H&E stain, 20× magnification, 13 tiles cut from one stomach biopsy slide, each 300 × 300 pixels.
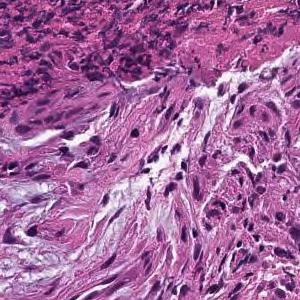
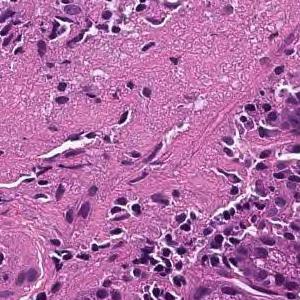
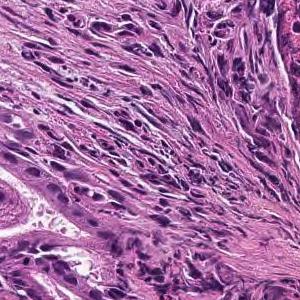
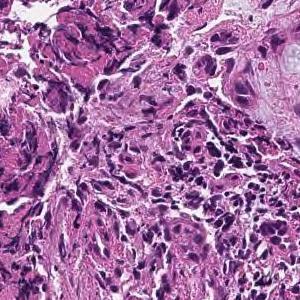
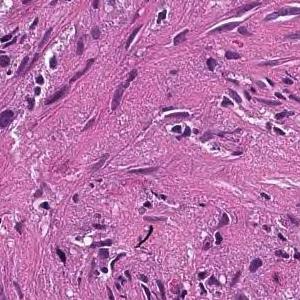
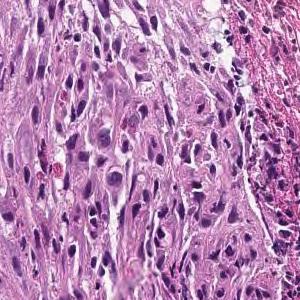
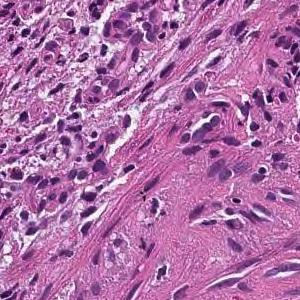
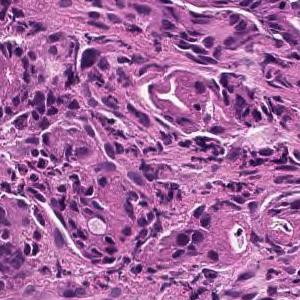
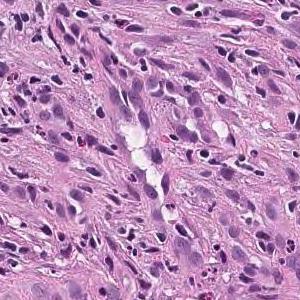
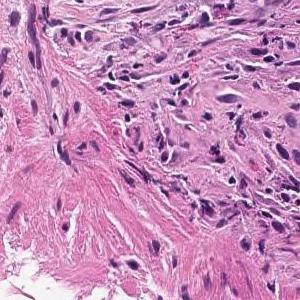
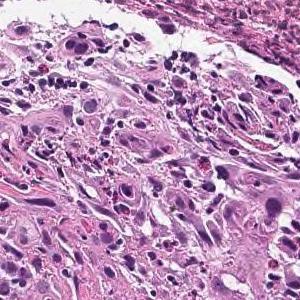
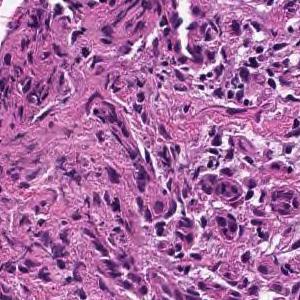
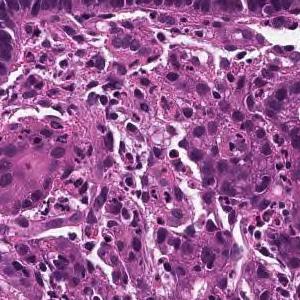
Pathology report for the biopsy slide these tiles were cut from. Both the report and the diagnosis are for the whole slide: these tiles need not show every feature named, and some of the tissue shown may not be tumor.
In the superficial epithelium, tumor tissue that invades by forming medium-sized to small, irregular ducts is observed. moderately differentiated tubular adenocarcinoma.
